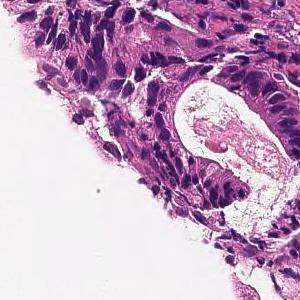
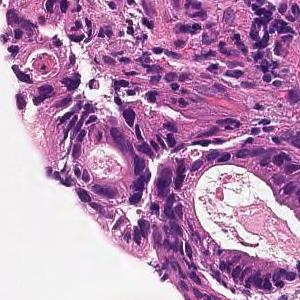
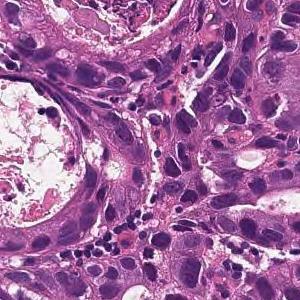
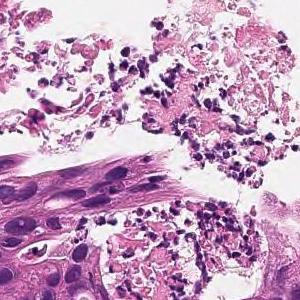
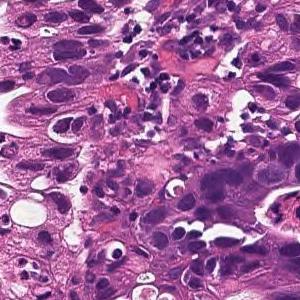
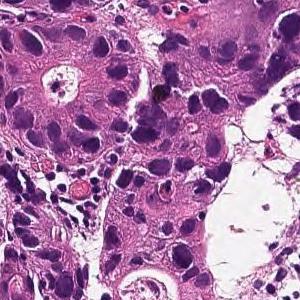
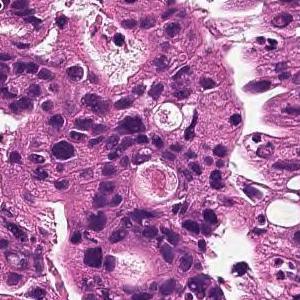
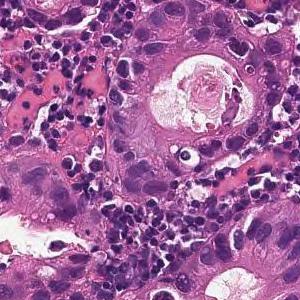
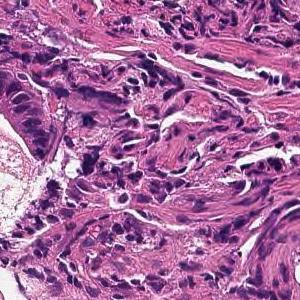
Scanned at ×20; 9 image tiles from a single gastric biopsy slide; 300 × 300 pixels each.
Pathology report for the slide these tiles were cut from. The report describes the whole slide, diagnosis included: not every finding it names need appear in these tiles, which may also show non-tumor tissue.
From the superficial epithelium to the muscularis mucosae, tumor tissue consisting of medium-sized and irregular glandular ducts infiltrating is observed. Well differentiated tubular adenocarcinoma
